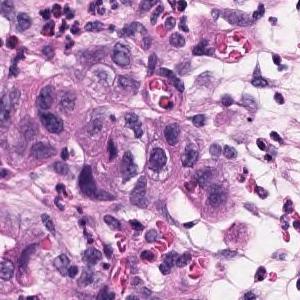
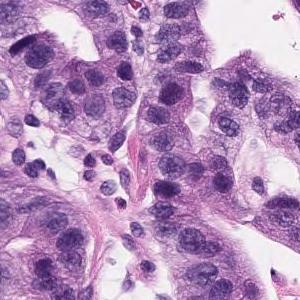
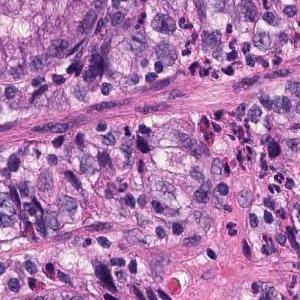
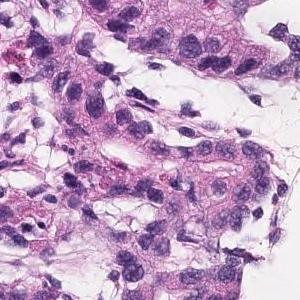
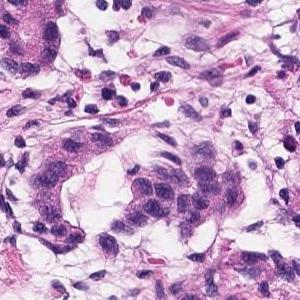
5 tiles from the same stomach biopsy slide; ×20.
Pathology report for the biopsy slide these tiles were cut from. The findings and the diagnosis refer to the entire slide; these tiles show only part of it, possibly with non-tumor tissue, and may not show every feature named.
Atypical l cells with atypical nuclei forming diffuse or small irregular atypical ducts and growing. Moderately to poorly differentiated adenocarcinoma (poorly differentiated adenocarcinoma, solid type, moderately differentiated tubular adenocarcinoma)
Tumor subtype: moderately to poorly differentiated adenocarcinoma.
The solid type named here is a Japanese Classification of Gastric Carcinoma category; WHO 2019 calls it tubular adenocarcinoma, poorly differentiated.
